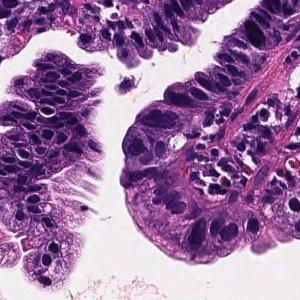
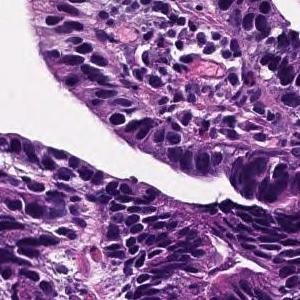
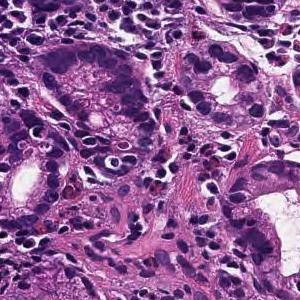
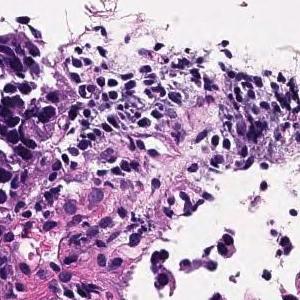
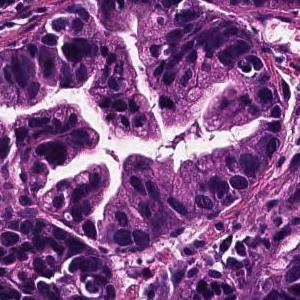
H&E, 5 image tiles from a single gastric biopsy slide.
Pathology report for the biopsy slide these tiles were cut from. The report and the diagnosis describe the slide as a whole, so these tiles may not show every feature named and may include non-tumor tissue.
Tumor cells are large, highly columnar, large club-shaped nuclei, and are associated with chromatin aggregation. Papillary adenocarcinoma.
